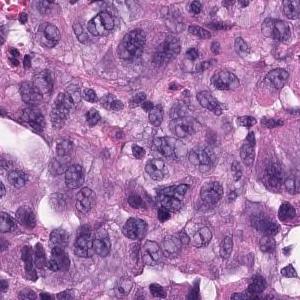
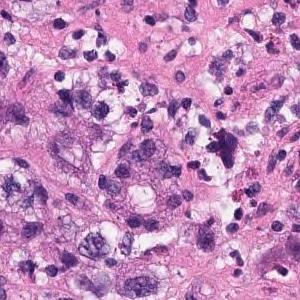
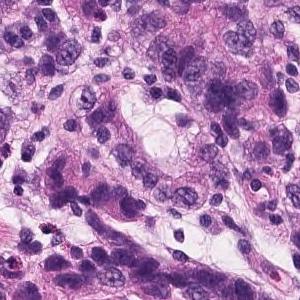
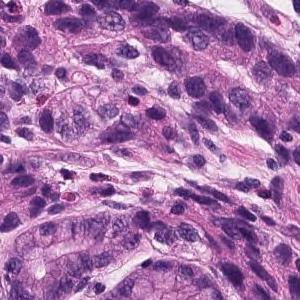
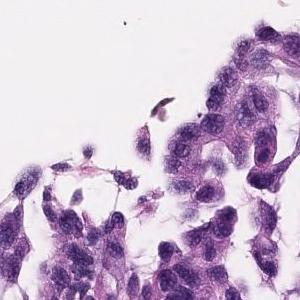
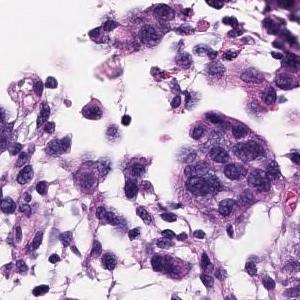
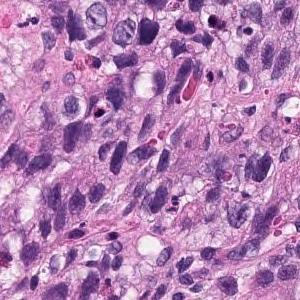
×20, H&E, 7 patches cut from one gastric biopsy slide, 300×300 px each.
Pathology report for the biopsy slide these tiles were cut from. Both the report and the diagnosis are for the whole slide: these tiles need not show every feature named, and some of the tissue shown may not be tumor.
Atypical l cells with atypical nuclei forming diffuse or small irregular atypical ducts and growing. Moderately to poorly differentiated adenocarcinoma (poorly differentiated adenocarcinoma, solid type, moderately differentiated tubular adenocarcinoma)
Histologic type: Moderately to poorly differentiated adenocarcinoma.
The solid type named here is a Japanese Classification of Gastric Carcinoma category; WHO 2019 calls it tubular adenocarcinoma, poorly differentiated.
